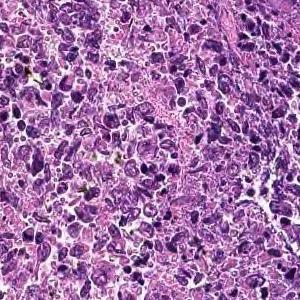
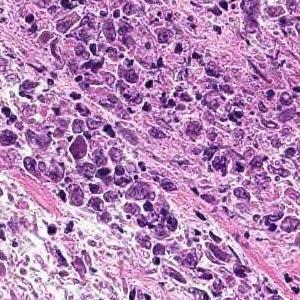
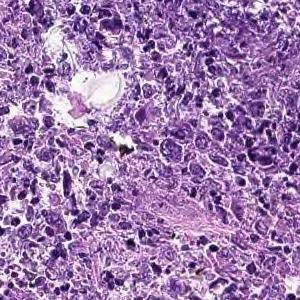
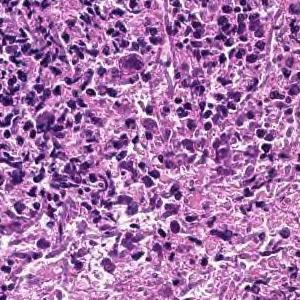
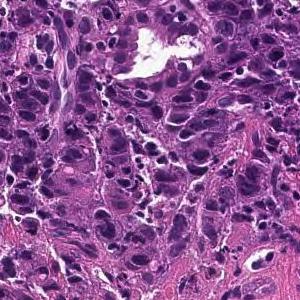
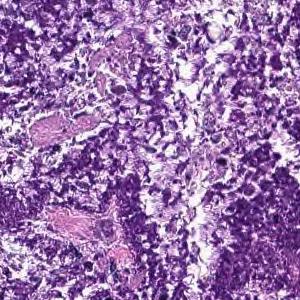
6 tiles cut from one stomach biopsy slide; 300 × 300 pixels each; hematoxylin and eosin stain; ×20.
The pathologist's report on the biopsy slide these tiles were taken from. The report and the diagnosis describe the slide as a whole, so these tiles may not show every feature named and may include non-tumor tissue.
Cancers with polygonal nuclei do not show glandular formation and are densely, in part, cord-like and proliferate. Poorly differentiated adenocarcinoma
Histologic type: Poorly differentiated adenocarcinoma, non-solid type.
"Non-solid type" is a category of the Japanese Classification of Gastric Carcinoma.
